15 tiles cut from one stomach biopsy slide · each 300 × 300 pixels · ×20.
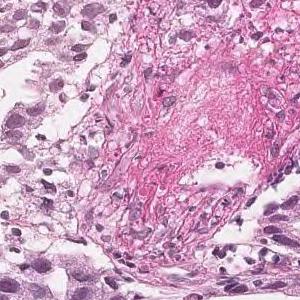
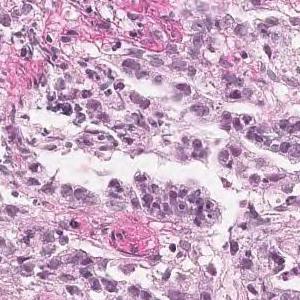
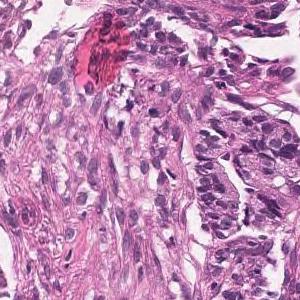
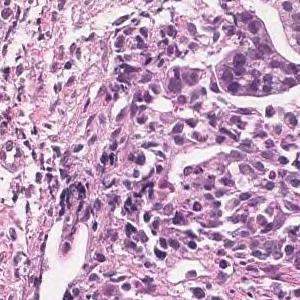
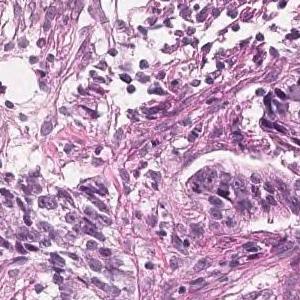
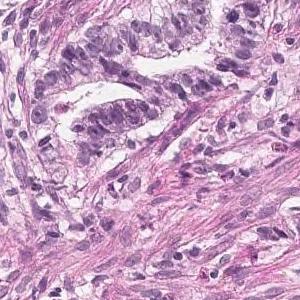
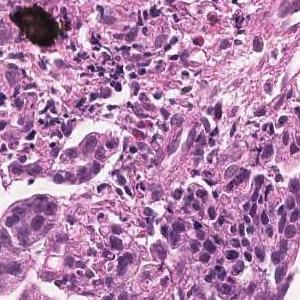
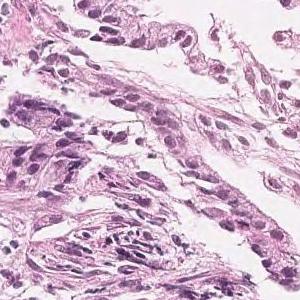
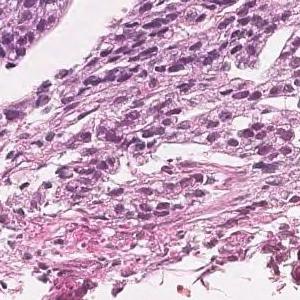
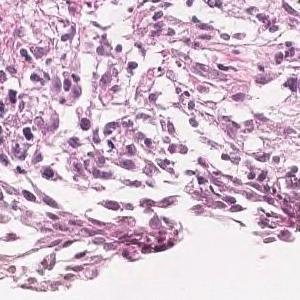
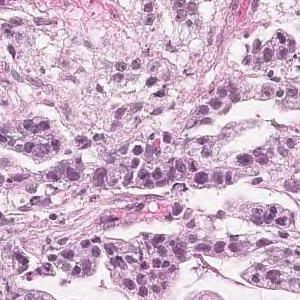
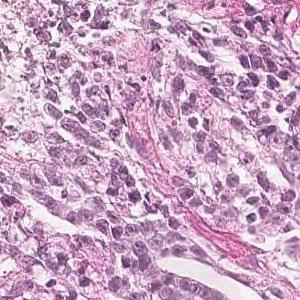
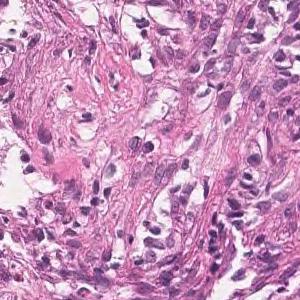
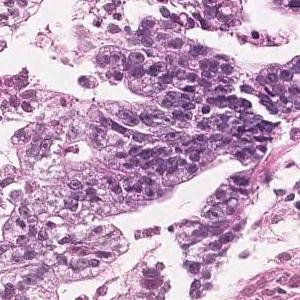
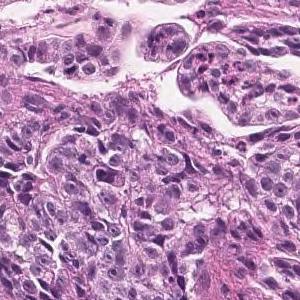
Pathology report for the biopsy slide these tiles were cut from. What the report and the diagnosis say applies to the whole slide; these tiles may miss some of the features named and may include tissue that is not tumor.
Tumor tissue in which highly columnar atypical epithelial cells with nuclear enlargement and increased nuclear chromatin show papillary to papillary ductal structure and proliferate is observed. Papillary adenocarcinoma.
